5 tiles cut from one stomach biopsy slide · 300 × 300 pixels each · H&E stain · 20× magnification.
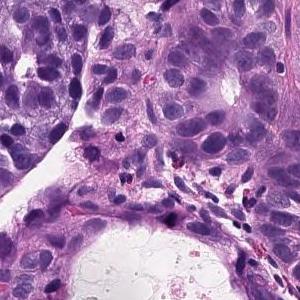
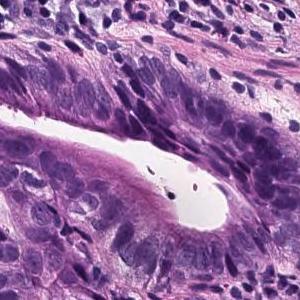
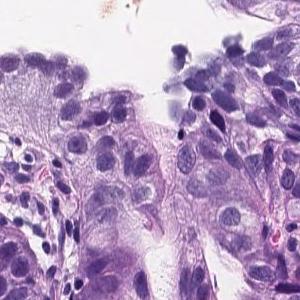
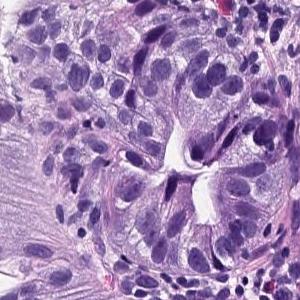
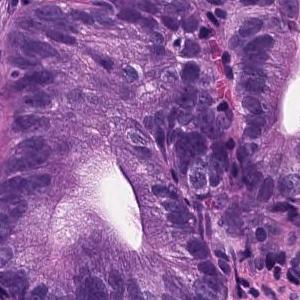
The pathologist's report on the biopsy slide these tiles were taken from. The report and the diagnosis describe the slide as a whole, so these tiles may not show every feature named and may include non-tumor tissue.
Atypical epithelial cells infiltrating and proliferating while forming a glandular cavity is observed. moderately differentiated tubular adenocarcinoma
